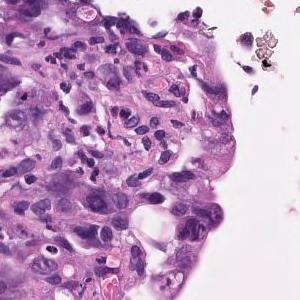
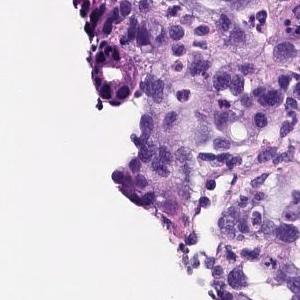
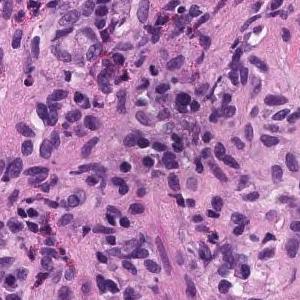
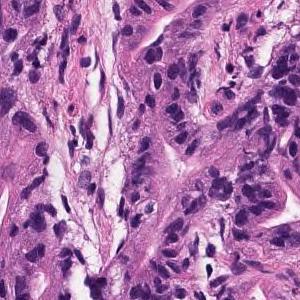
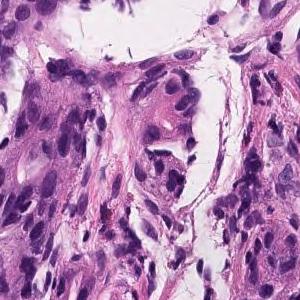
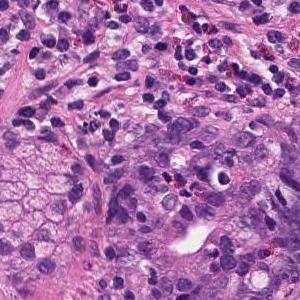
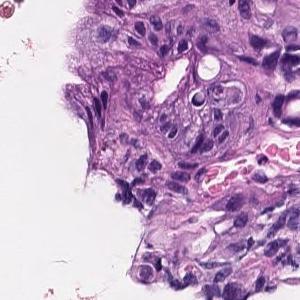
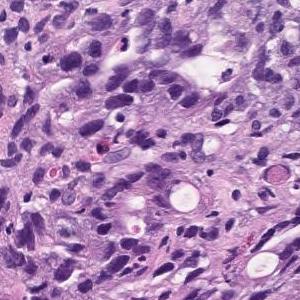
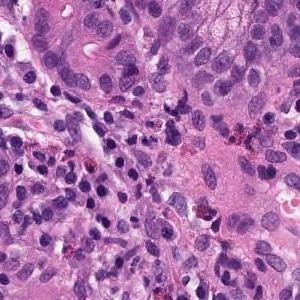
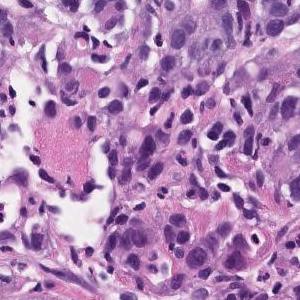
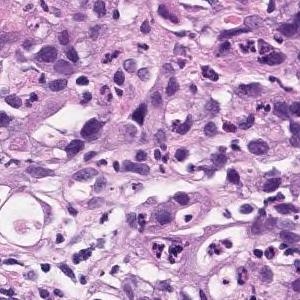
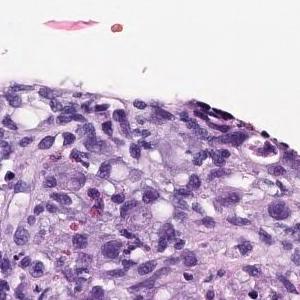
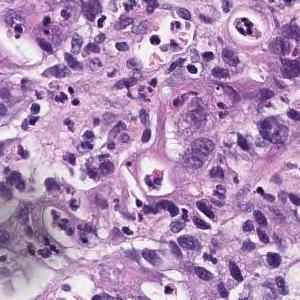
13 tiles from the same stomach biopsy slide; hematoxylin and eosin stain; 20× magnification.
Pathology report for the slide these tiles were cut from. What the report and the diagnosis say applies to the whole slide; these tiles may miss some of the features named and may include tissue that is not tumor.
moderately differentiated tubular adenocarcinoma, Poorly differentiated adenocarcinoma
The dataset labels this slide poorly differentiated adenocarcinoma, solid type (Japanese Classification of Gastric Carcinoma). The WHO 2019 equivalent is tubular adenocarcinoma, poorly differentiated.
